20× magnification · H&E stain · 10 tiles cut from one stomach biopsy slide · 300×300 px each.
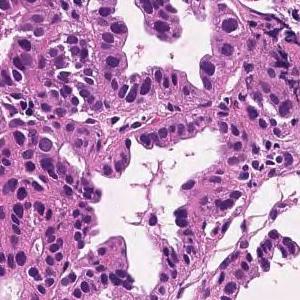
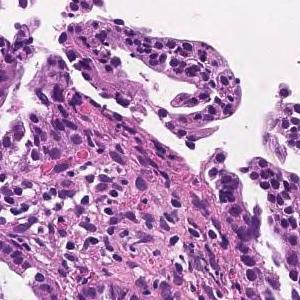
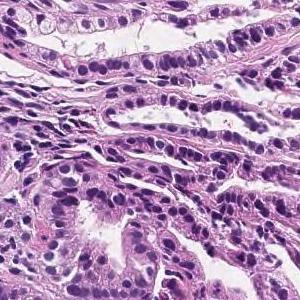
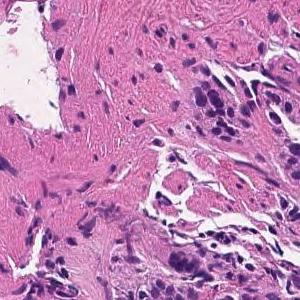
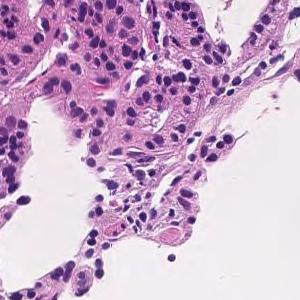
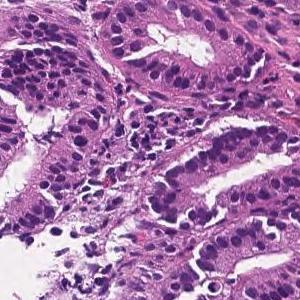
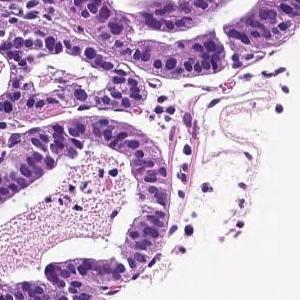
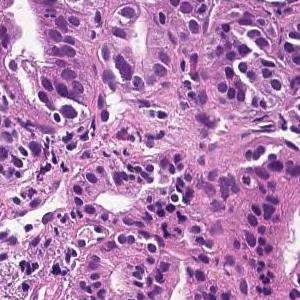
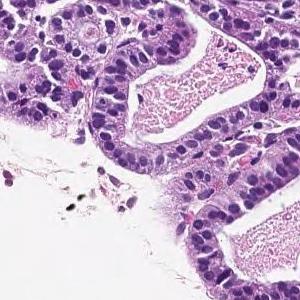
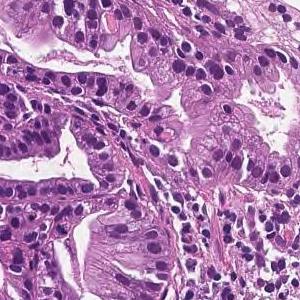
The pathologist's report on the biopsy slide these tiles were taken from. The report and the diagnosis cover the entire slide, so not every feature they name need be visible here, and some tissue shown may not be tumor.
On the superficial epithelium, tumor tissue that infiltrates by forming medium-sized papillary or small irregular ducts is observed. Papillary adenocarcinoma (Papillary adenocarcinoma)
Subtype: Papillary adenocarcinoma.
